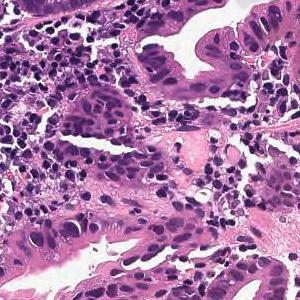
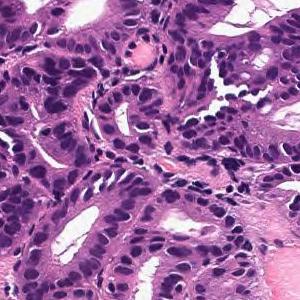
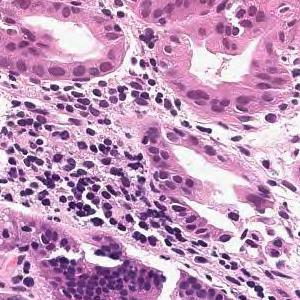
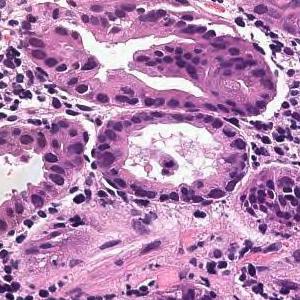
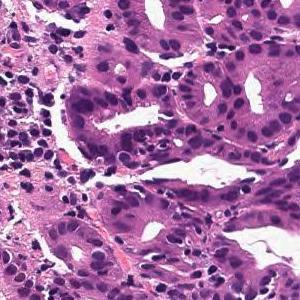
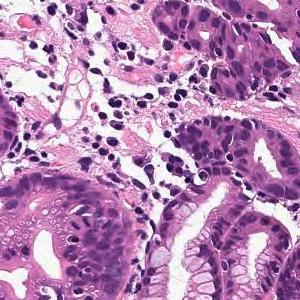
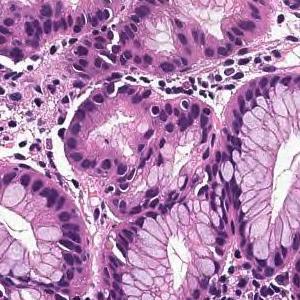
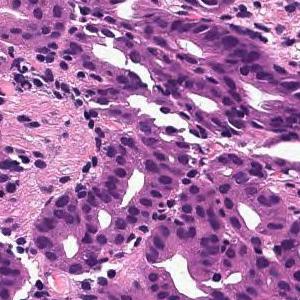
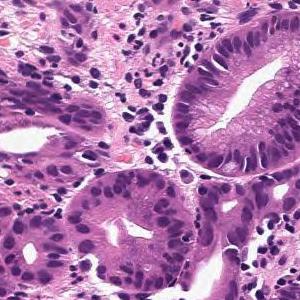
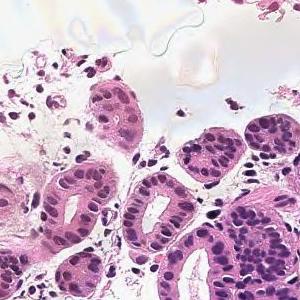
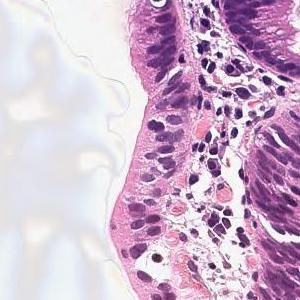
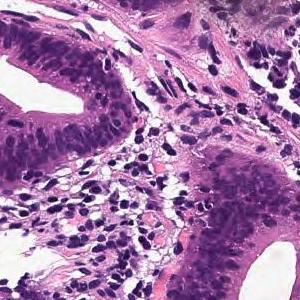
12 patches cut from one gastric biopsy slide, hematoxylin and eosin stain, ×20.
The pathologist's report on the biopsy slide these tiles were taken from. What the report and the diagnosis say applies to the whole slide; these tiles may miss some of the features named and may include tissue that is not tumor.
Cells with elliptical or atypical nuclei form dense ducts with relatively clear growth. Well differentiated tubular adenocarcinoma
